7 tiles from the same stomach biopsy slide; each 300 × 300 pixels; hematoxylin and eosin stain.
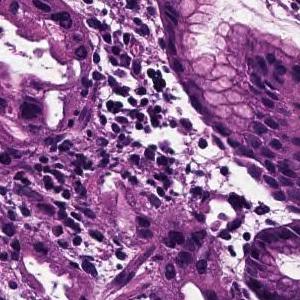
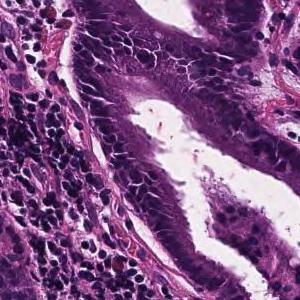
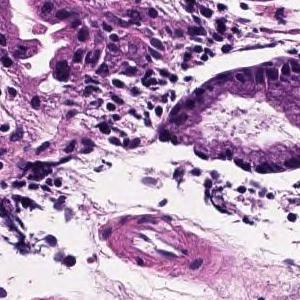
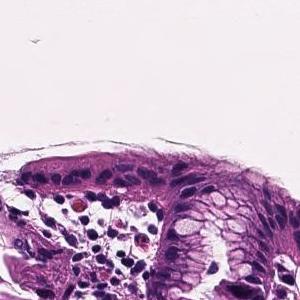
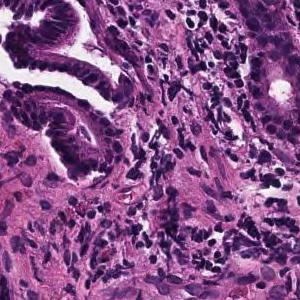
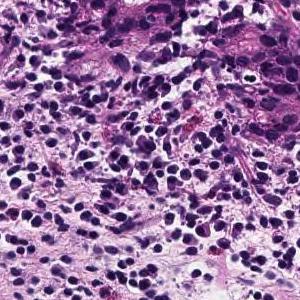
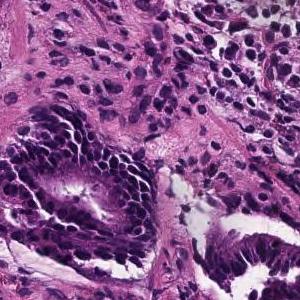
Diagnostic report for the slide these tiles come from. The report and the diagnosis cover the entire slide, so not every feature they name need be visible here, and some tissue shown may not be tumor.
In the superficial epithelium, tumor tissue infiltrated by partial fusion of medium-sized to small, irregular glandular ducts is observed. moderately differentiated tubular adenocarcinoma
